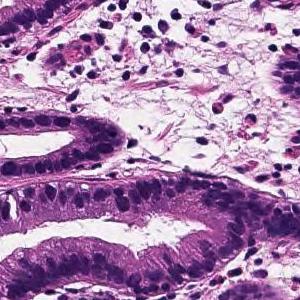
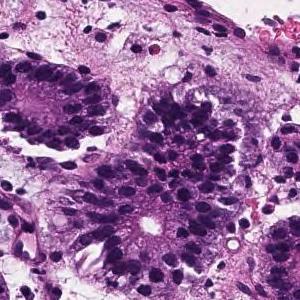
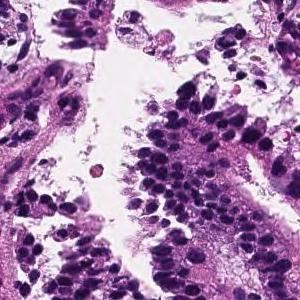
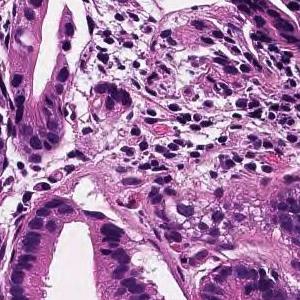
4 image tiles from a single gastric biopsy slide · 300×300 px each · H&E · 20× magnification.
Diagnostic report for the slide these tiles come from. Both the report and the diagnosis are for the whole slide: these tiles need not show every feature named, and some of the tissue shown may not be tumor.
From the superficial epithelium to the muscularis mucosae, tumor tissue consisting of medium-sized and irregular glandular ducts infiltrating is observed. Well differentiated tubular adenocarcinoma
